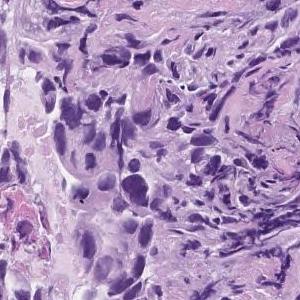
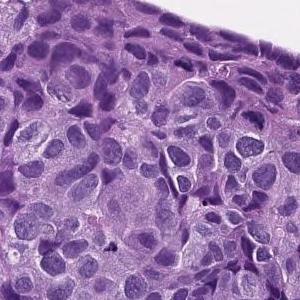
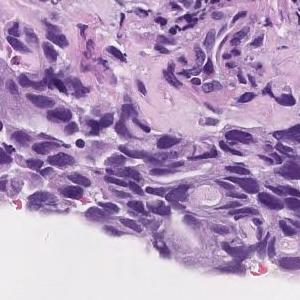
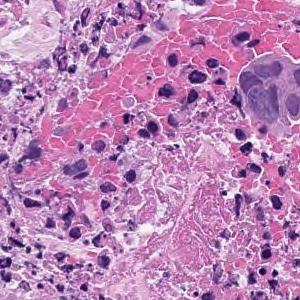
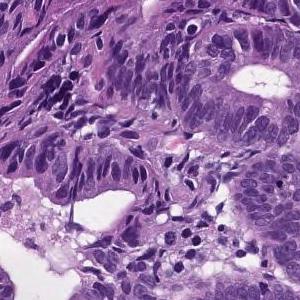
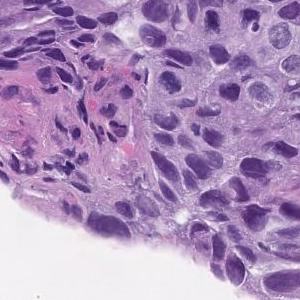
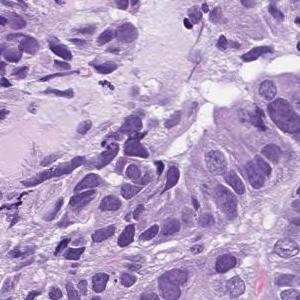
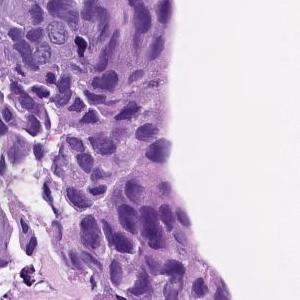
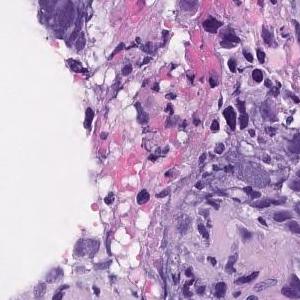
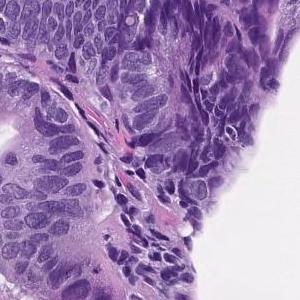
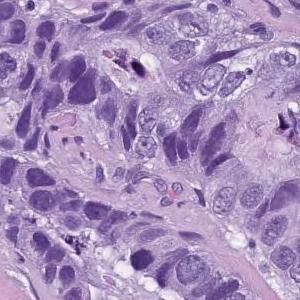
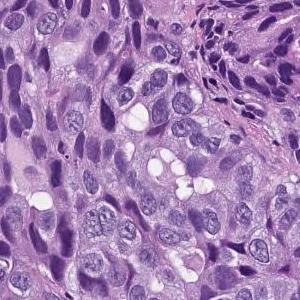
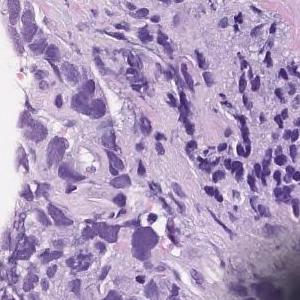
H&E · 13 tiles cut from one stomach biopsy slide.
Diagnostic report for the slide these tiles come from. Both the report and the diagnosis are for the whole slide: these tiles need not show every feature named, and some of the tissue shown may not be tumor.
In the superficial epithelium, tumor tissue that invades by forming medium-sized to small, irregular ducts is observed. moderately differentiated tubular adenocarcinoma.
